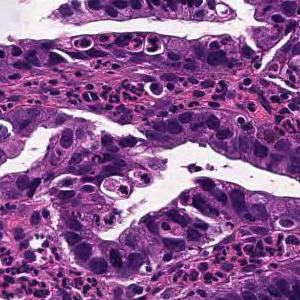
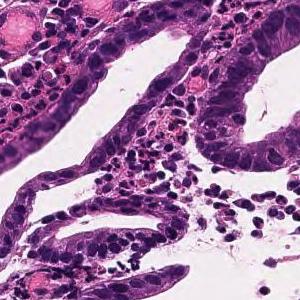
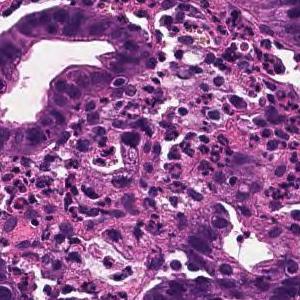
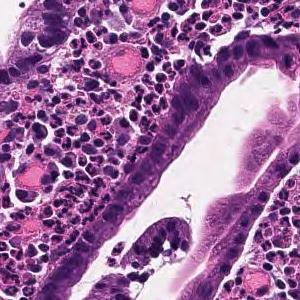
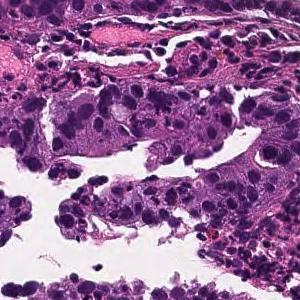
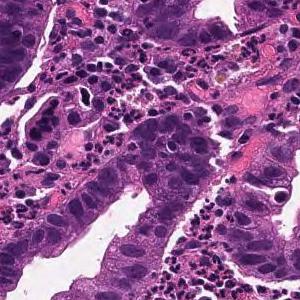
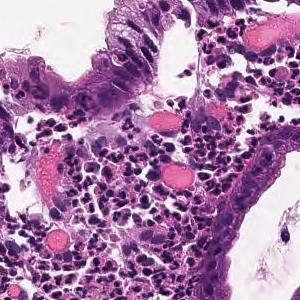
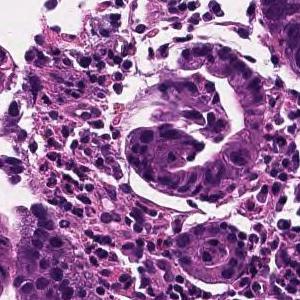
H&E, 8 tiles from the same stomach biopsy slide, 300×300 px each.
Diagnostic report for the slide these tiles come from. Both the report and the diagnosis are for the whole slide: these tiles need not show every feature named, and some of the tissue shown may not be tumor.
From the superficial epithelium to the muscularis mucosae, tumor tissue consisting of medium-sized and irregular glandular ducts infiltrating is observed. Well differentiated tubular adenocarcinoma
